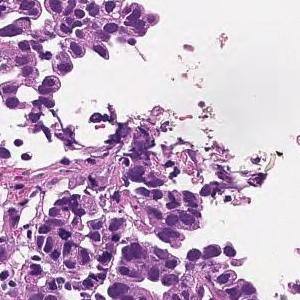
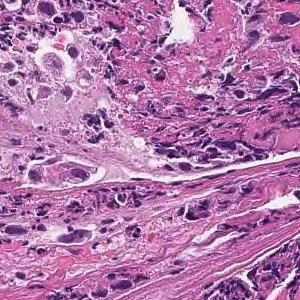
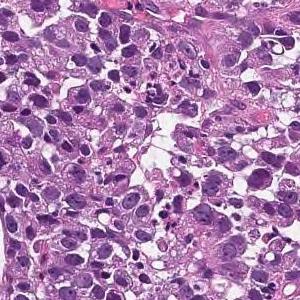
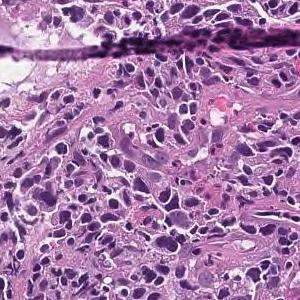
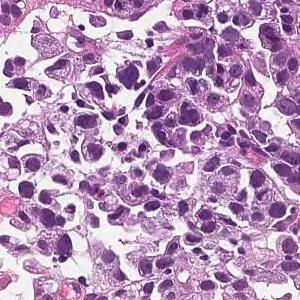
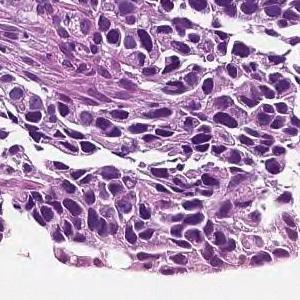
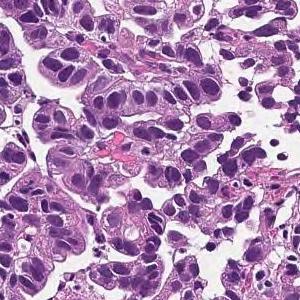
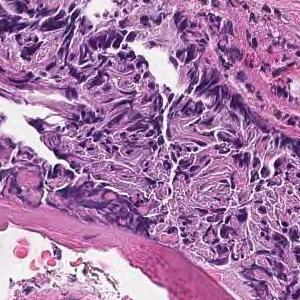
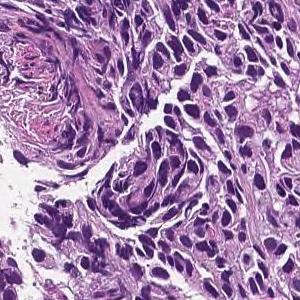
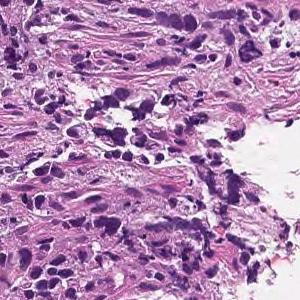
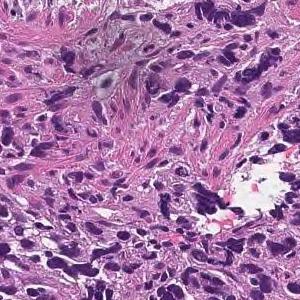
×20; H&E; 11 tiles cut from one stomach biopsy slide; 300×300 px each.
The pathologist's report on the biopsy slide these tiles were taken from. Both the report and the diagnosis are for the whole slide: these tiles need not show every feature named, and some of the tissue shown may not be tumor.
The superficial epithelium shows a large sheet-like shape, and some tumor tissue infiltrates with small irregular ducts. Poorly differentiated adenocarcinoma, solid-type
Histologic type: Poorly differentiated adenocarcinoma, solid type. This name comes from the Japanese Classification of Gastric Carcinoma; the WHO 2019 classification calls it tubular adenocarcinoma, poorly differentiated.
